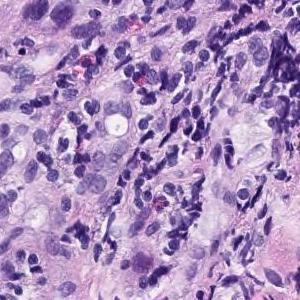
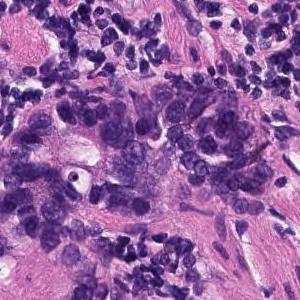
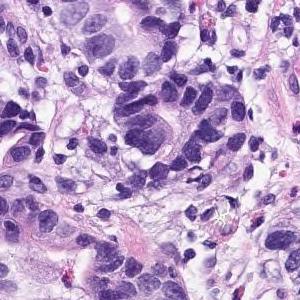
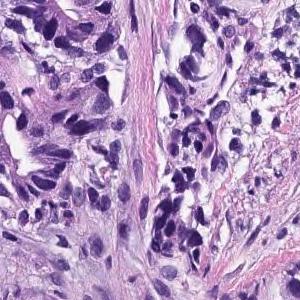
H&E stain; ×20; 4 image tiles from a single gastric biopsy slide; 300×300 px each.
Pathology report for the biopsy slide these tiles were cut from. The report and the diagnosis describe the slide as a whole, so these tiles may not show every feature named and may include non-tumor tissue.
On the superficial epithelium, tumor tissue consisting of images showing invasive growth with small, irregular tubules partially fused is observed. moderately differentiated tubular adenocarcinoma
